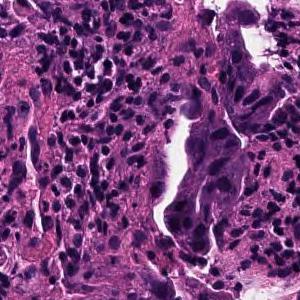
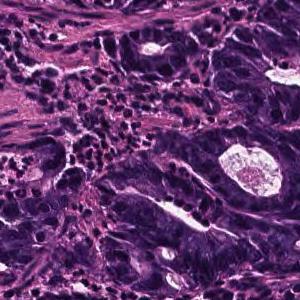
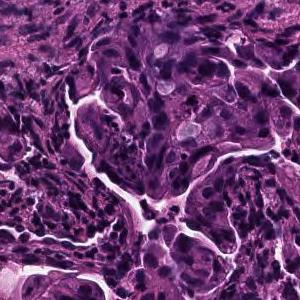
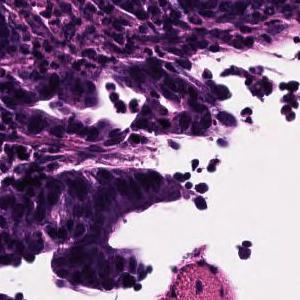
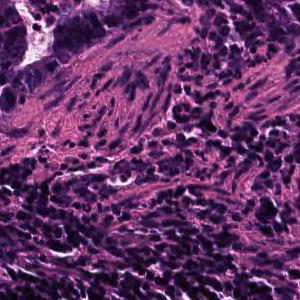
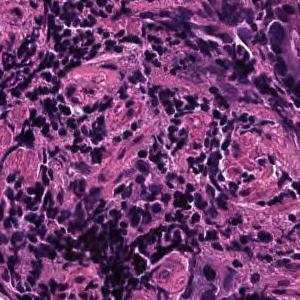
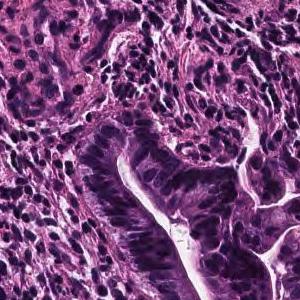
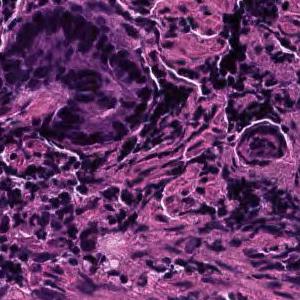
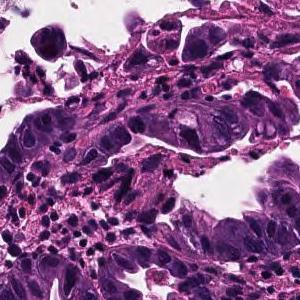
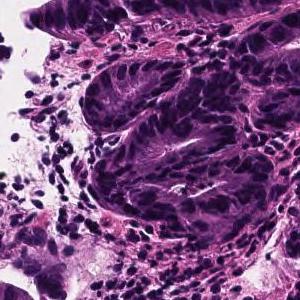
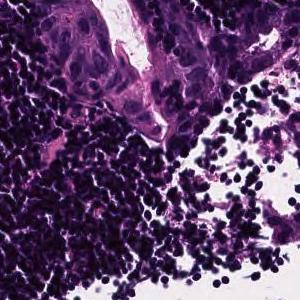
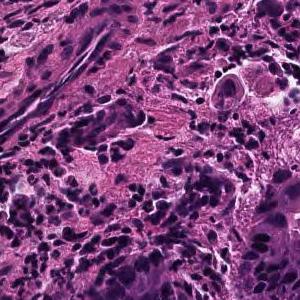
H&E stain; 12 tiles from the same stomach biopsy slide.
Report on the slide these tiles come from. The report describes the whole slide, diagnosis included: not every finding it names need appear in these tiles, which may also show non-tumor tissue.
On the superficial epithelium, tumor tissue consisting of large, irregular glandular ducts partially fused and infiltrated is observed. Well to moderately differentiated tubular adenocarcinoma (well differentiated tubular adenocarcinoma, moderately differentiated tubular adenocarcinoma)
Tumor subtype: well to moderately differentiated tubular adenocarcinoma.
